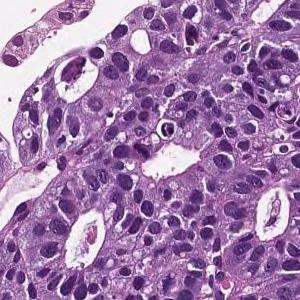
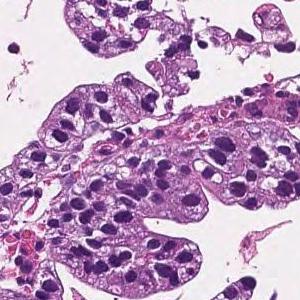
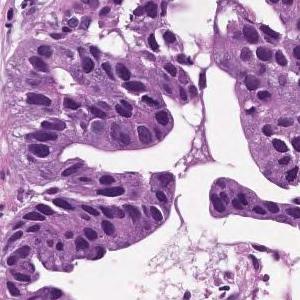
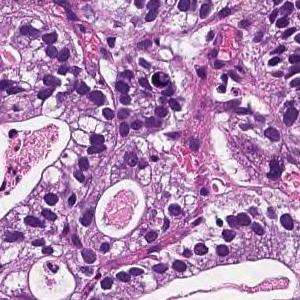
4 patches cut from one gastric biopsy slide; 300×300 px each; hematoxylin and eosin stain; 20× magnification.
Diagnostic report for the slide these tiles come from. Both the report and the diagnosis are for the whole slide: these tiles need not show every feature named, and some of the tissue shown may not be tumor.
On the superficial epithelium, tumor tissue consisting of large, irregular glandular ducts partially fused and infiltrated is observed. Well to moderately differentiated tubular adenocarcinoma (well differentiated tubular adenocarcinoma, moderately differentiated tubular adenocarcinoma)
Histological subtype: Well to moderately differentiated tubular adenocarcinoma.
